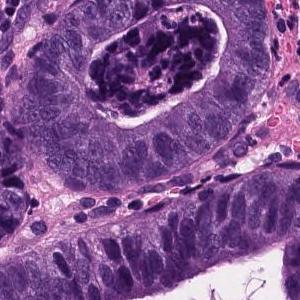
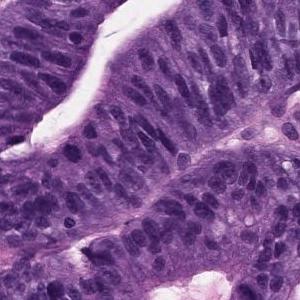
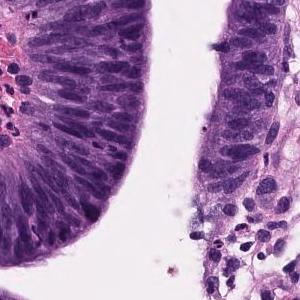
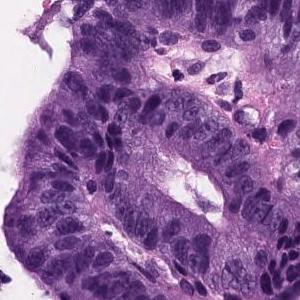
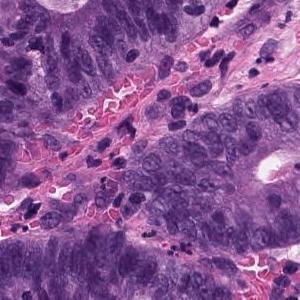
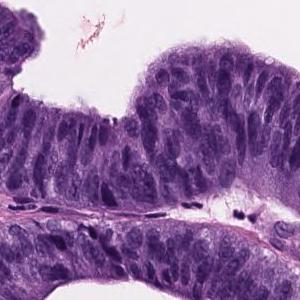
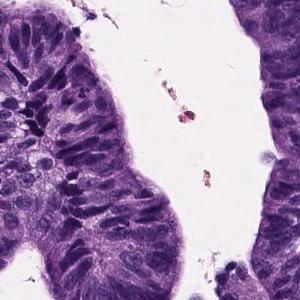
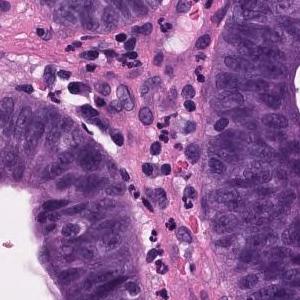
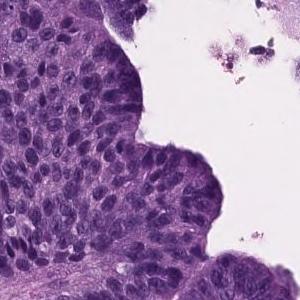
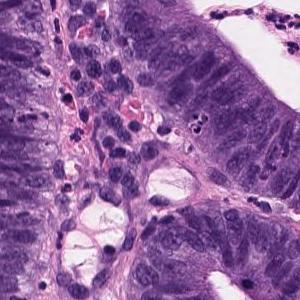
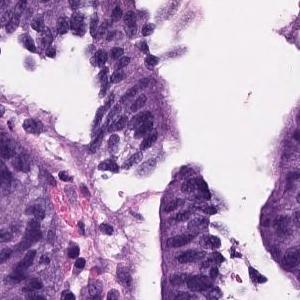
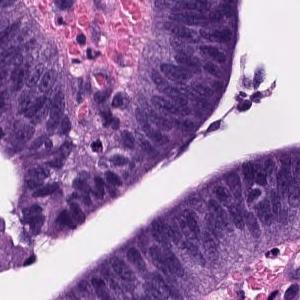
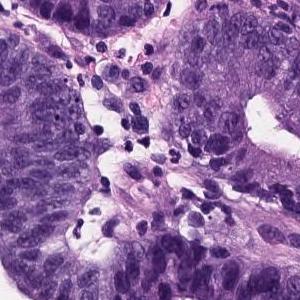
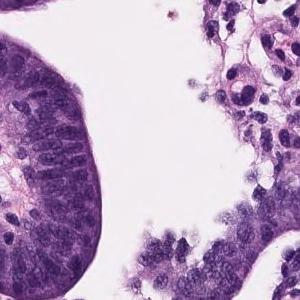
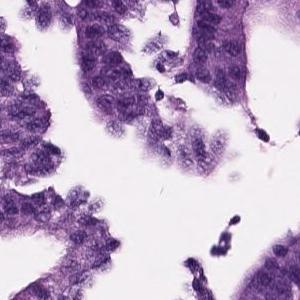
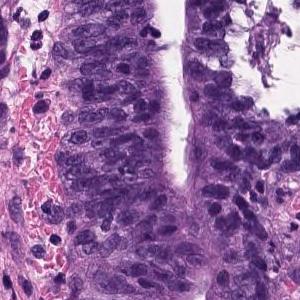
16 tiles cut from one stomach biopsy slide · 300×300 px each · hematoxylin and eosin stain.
Pathology report for the biopsy slide these tiles were cut from. The findings and the diagnosis refer to the entire slide; these tiles show only part of it, possibly with non-tumor tissue, and may not show every feature named.
Papillo-tubular growth of atypical tubules with nuclear swelling is observed. Well differentiated tubular adenocarcinoma
